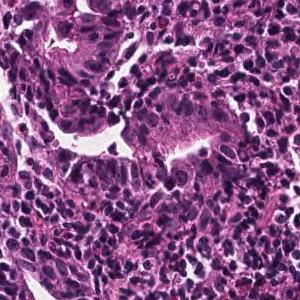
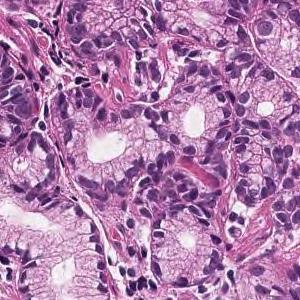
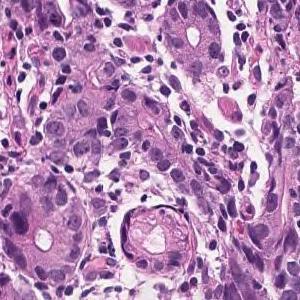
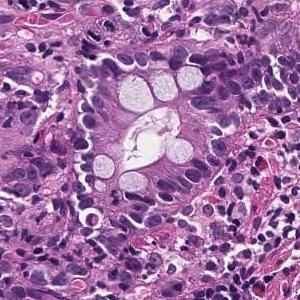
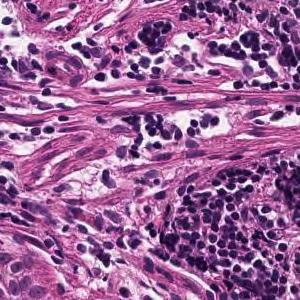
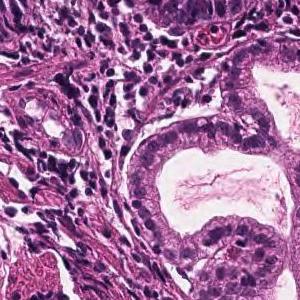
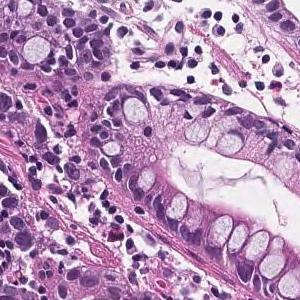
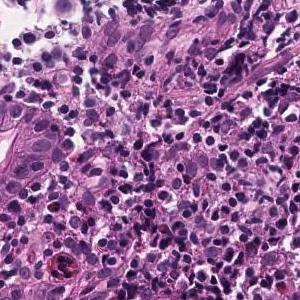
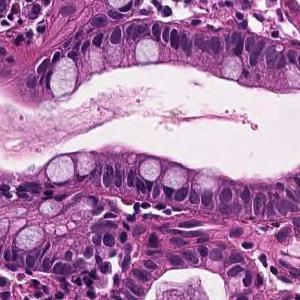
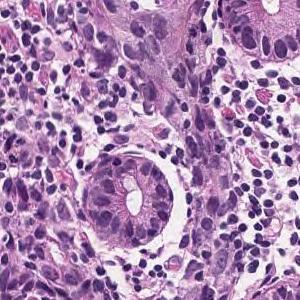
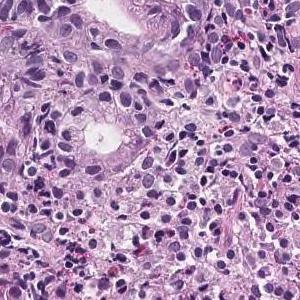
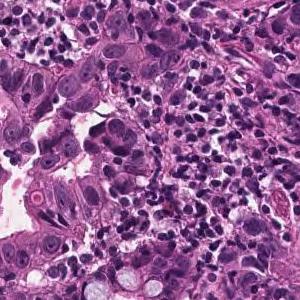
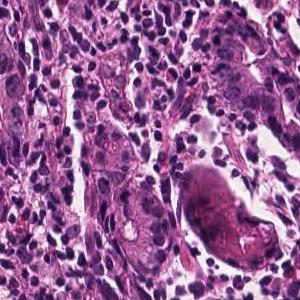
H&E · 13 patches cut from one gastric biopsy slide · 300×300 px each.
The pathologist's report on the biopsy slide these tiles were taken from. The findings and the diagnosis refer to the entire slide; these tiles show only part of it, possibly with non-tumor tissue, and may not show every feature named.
Tumor tissue consisting of medium-sized, cord-like or irregular glandular infiltration is observed in the superficial epithelium. Poorly differentiated adenocarcinoma, non-solid type or moderately differentiated tubular adenocarcinoma
Histological subtype: Moderately to poorly differentiated adenocarcinoma.
The non-solid type named here is a Japanese Classification of Gastric Carcinoma category.
